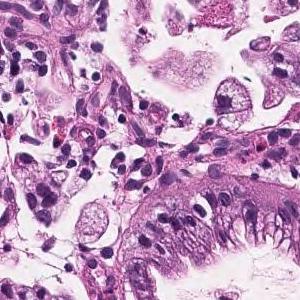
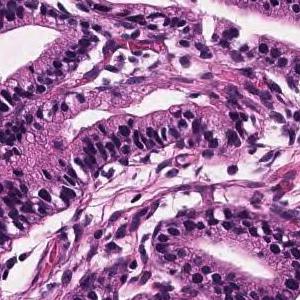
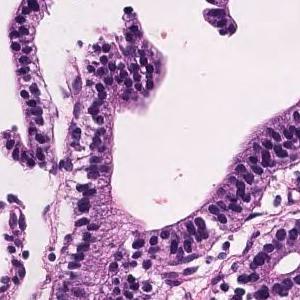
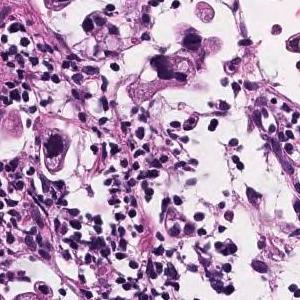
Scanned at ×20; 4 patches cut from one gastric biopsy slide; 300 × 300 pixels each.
Pathology report for the biopsy slide these tiles were cut from. The findings and the diagnosis refer to the entire slide; these tiles show only part of it, possibly with non-tumor tissue, and may not show every feature named.
Tumor tissue consisting of large papillary structures or irregular glandular ducts partially fused and infiltrated is observed in the superficial epithelium. Well to moderately differentiated tubular adenocarcinoma.
Dataset label: moderately differentiated tubular adenocarcinoma.
